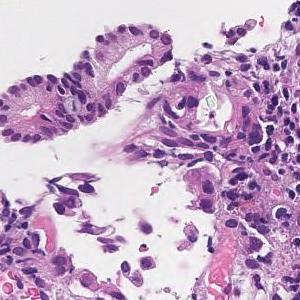
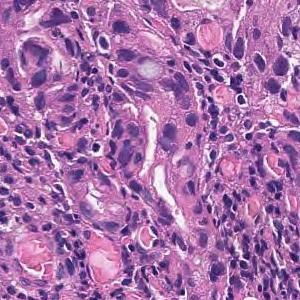
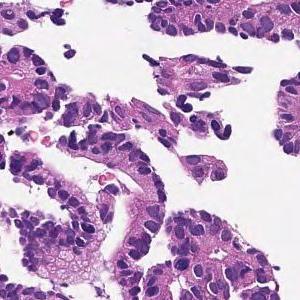
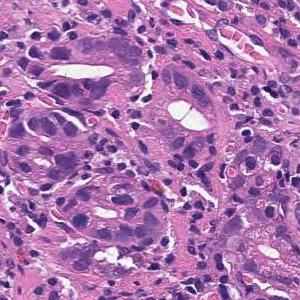
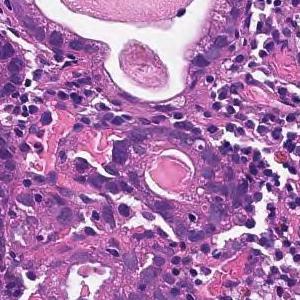
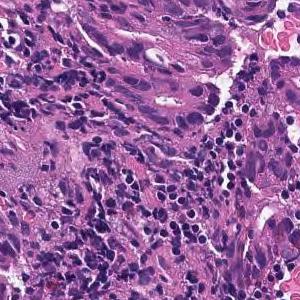
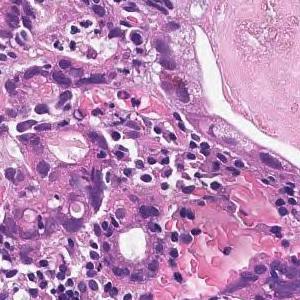
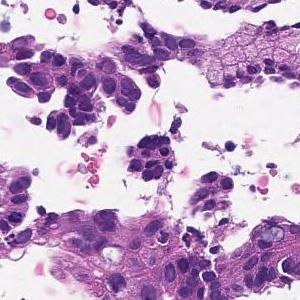
8 patches cut from one gastric biopsy slide, each 300 × 300 pixels.
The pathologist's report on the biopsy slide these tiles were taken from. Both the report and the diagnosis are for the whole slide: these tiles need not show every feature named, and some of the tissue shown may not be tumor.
In the superficial epithelium, tumor tissue that invades by forming medium-sized to small, irregular ducts is observed. moderately differentiated tubular adenocarcinoma.
